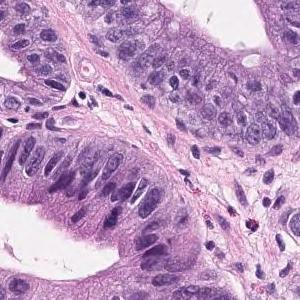
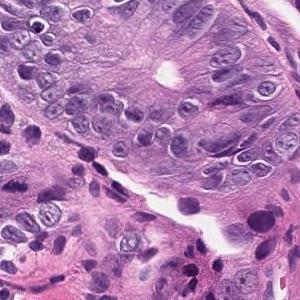
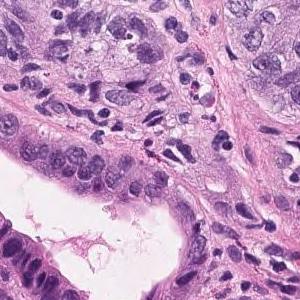
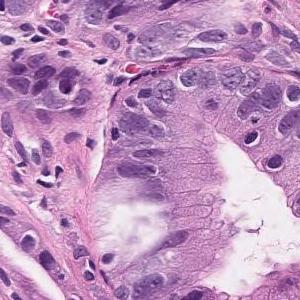
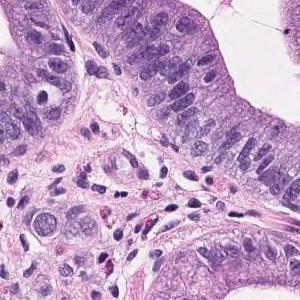
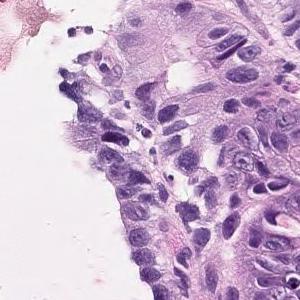
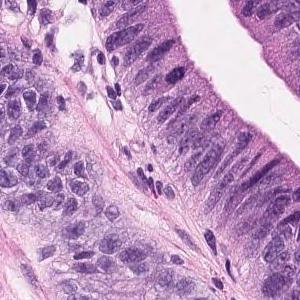
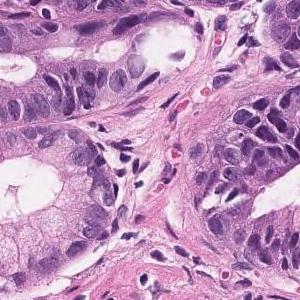
8 patches cut from one gastric biopsy slide; H&E; ×20.
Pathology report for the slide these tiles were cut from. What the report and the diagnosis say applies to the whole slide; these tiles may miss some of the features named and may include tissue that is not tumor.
Atypical ducts that branch intricately are observed. Well differentiated tubular adenocarcinoma
